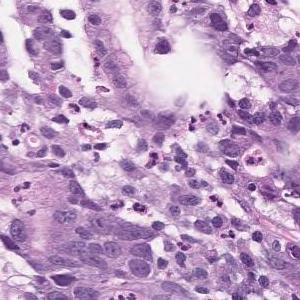
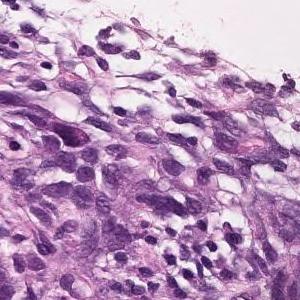
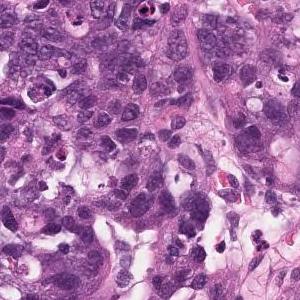
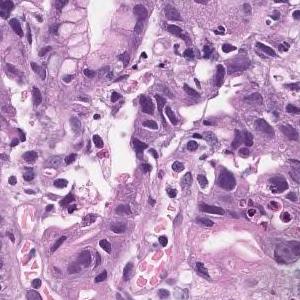
20× magnification · hematoxylin and eosin stain · 4 image tiles from a single gastric biopsy slide.
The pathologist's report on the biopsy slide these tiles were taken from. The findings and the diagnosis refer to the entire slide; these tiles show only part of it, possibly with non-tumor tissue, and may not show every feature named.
It is mixed with the existing pit epithelium and pyloric gland epithelium, and irregularly fused and branched atypical ducts are observed. Moderately differentiated tubular adenocarcinoma (well differentiated tubular adenocarcinoma)
Labeled in the dataset as moderately differentiated tubular adenocarcinoma.
